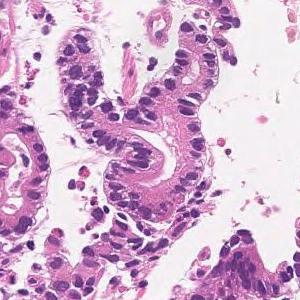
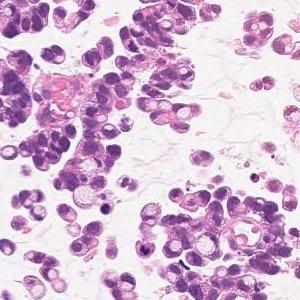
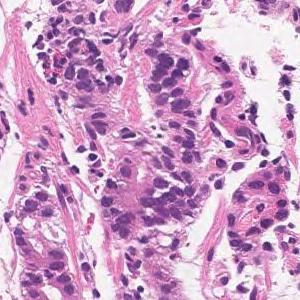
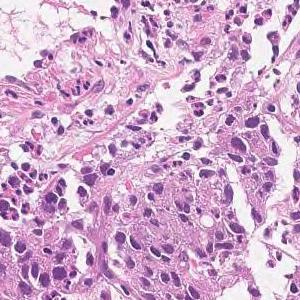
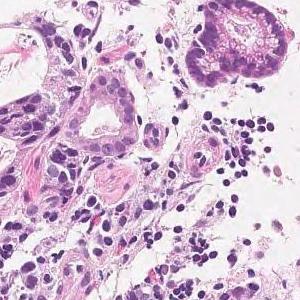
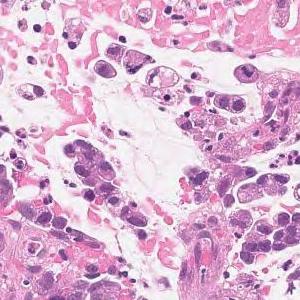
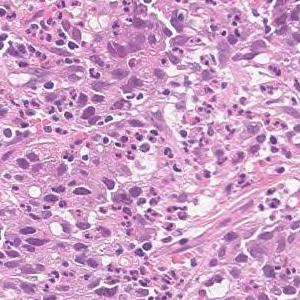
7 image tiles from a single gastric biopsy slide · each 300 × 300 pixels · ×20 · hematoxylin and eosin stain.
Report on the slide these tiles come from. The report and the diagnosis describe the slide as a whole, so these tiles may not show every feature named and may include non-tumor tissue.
Medium to small, irregular glandular ducts are formed in the superficial epithelium, and in some cases, the glandular ducts are fused to show solid alveolar lesions and infiltrating tumor tissue is observed. Moderately to poorly differentiated adenocarcinoma.
